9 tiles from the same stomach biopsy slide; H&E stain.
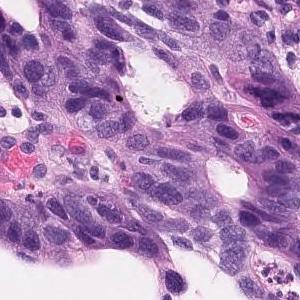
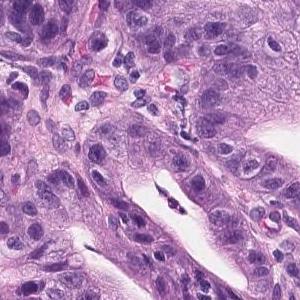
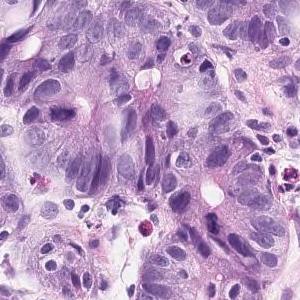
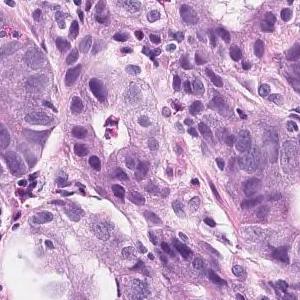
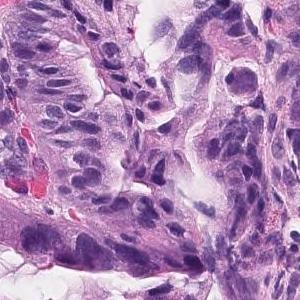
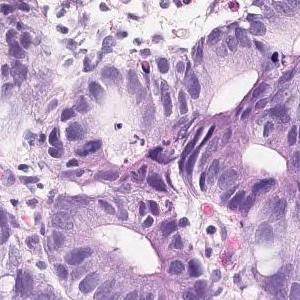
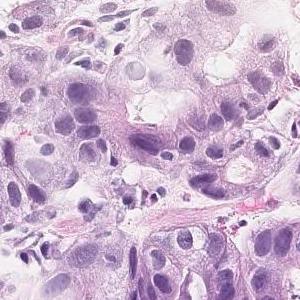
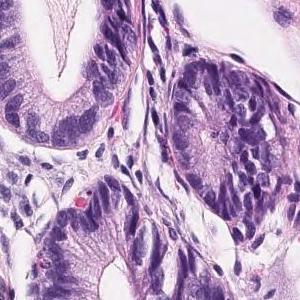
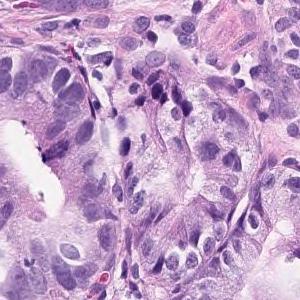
Diagnostic report for the slide these tiles come from. The report describes the whole slide, diagnosis included: not every finding it names need appear in these tiles, which may also show non-tumor tissue.
On the superficial epithelium, tumor tissue consisting of medium-sized to large-sized, round or irregular glandular duct growth images is observed. Well differentiated adenocarcinoma.
Classified as well differentiated tubular adenocarcinoma.
